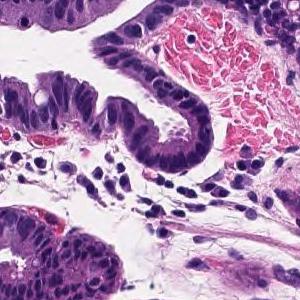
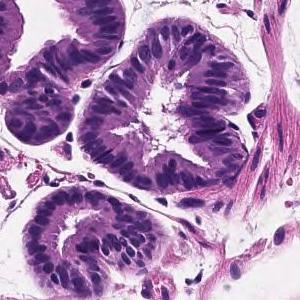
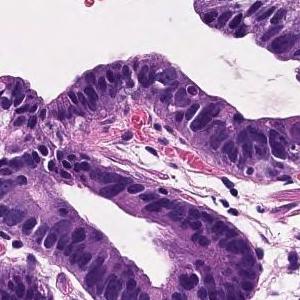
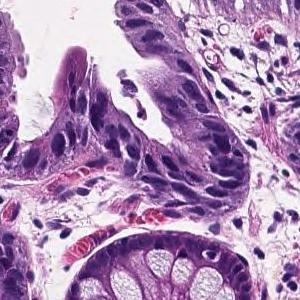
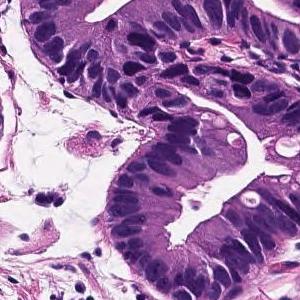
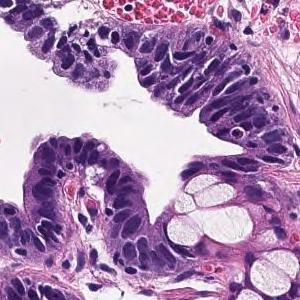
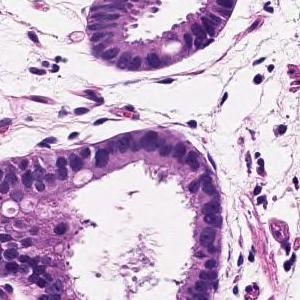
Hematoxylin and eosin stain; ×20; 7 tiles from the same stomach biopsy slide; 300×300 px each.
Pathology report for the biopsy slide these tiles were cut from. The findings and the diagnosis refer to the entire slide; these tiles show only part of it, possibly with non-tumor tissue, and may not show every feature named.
Tumor cells are large, highly columnar, large club-shaped nuclei, and are associated with chromatin aggregation. Papillary adenocarcinoma.
